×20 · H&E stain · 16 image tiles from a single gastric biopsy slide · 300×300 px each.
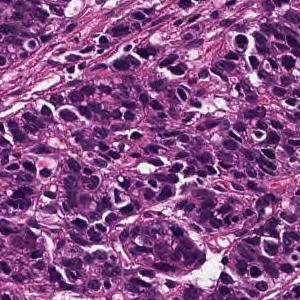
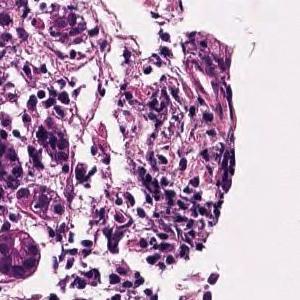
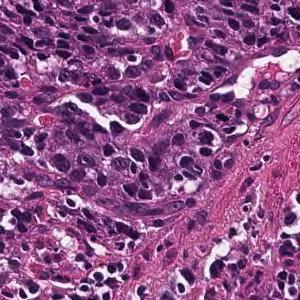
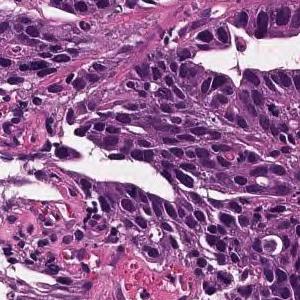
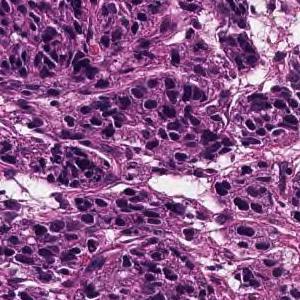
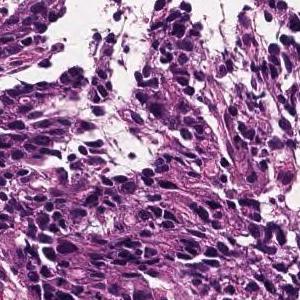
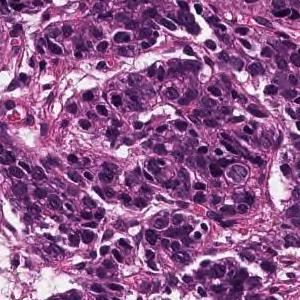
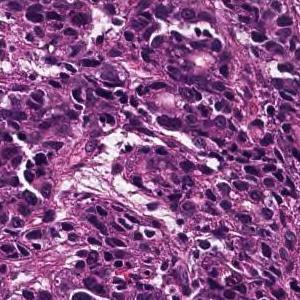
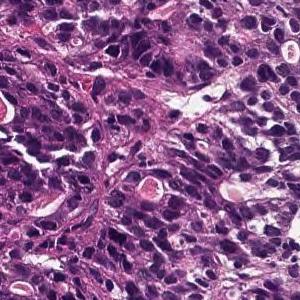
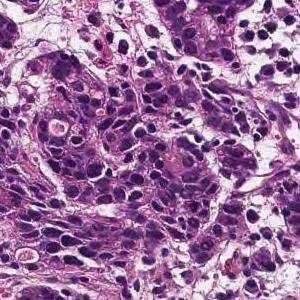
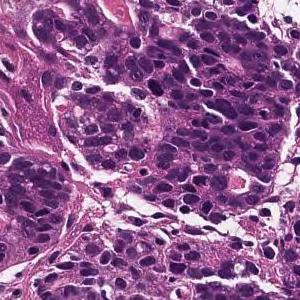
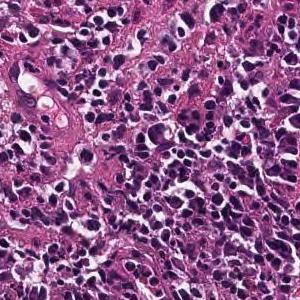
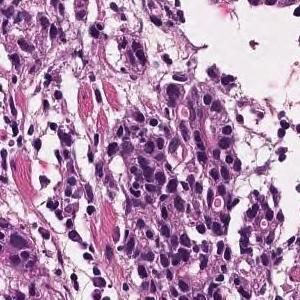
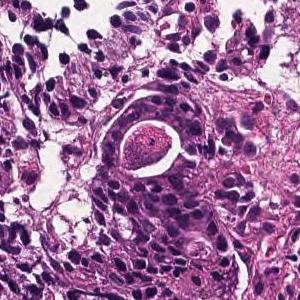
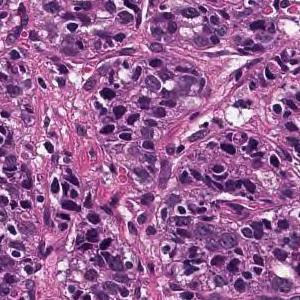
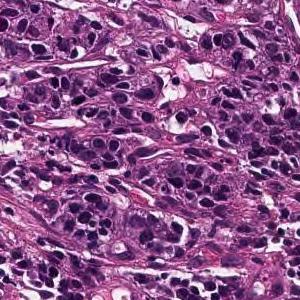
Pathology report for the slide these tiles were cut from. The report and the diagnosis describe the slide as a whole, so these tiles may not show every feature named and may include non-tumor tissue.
Medium to small, irregular glandular ducts are formed in the superficial epithelium, and in some cases, the glandular ducts are fused to show solid alveolar lesions and infiltrating tumor tissue is observed. Moderately to poorly differentiated adenocarcinoma.
